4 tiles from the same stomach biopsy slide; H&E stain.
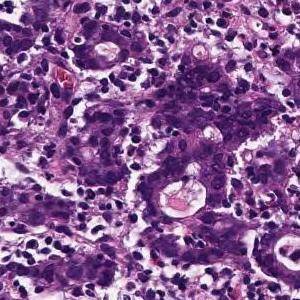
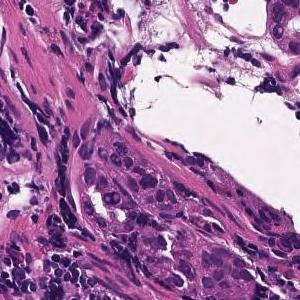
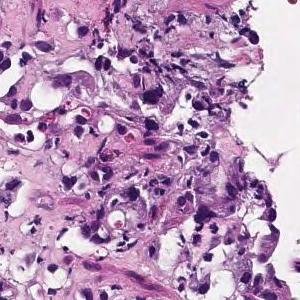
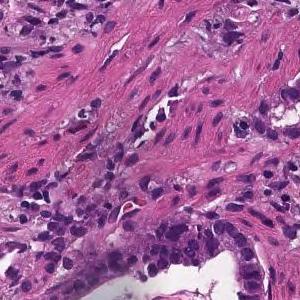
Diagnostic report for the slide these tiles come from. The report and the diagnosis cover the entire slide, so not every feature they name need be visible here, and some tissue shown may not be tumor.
Tumor tissue consisting of medium-sized, cord-like or irregular glandular infiltration is observed in the superficial epithelium. Poorly differentiated adenocarcinoma, non-solid type or moderately differentiated tubular adenocarcinoma
Histological subtype: Moderately to poorly differentiated adenocarcinoma.
The non-solid type named here is a Japanese Classification of Gastric Carcinoma category.
